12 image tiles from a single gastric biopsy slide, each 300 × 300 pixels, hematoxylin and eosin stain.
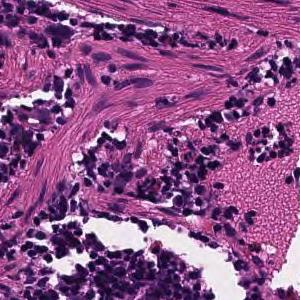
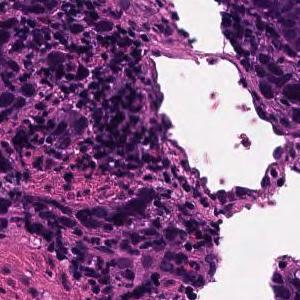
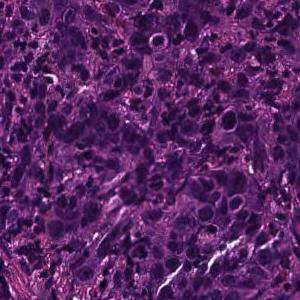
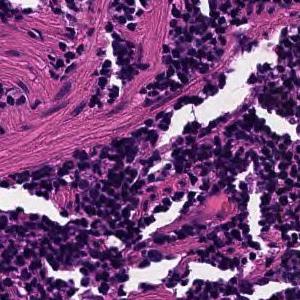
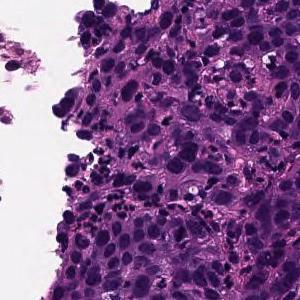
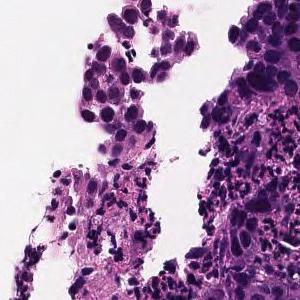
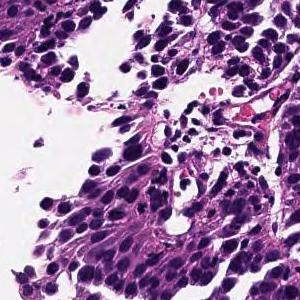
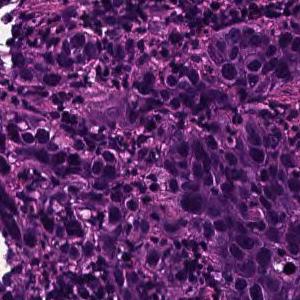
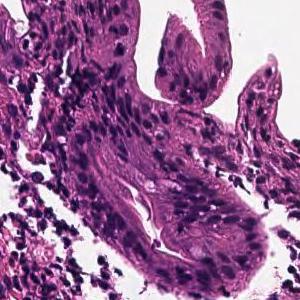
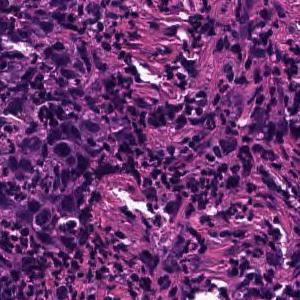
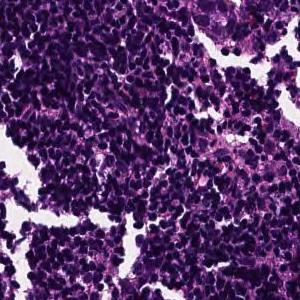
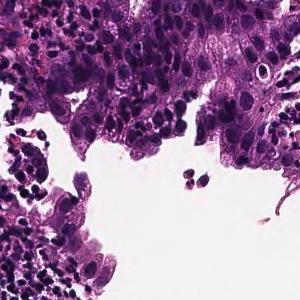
Pathology report for the biopsy slide these tiles were cut from. The report describes the whole slide, diagnosis included: not every finding it names need appear in these tiles, which may also show non-tumor tissue.
Tumor tissue consisting of cord-like or small, irregular glandular ducts fused and infiltrated is observed in the superficial epithelium. Poorly differentiated adenocarcinoma, non-solid type
The non-solid type named here is a Japanese Classification of Gastric Carcinoma category.
